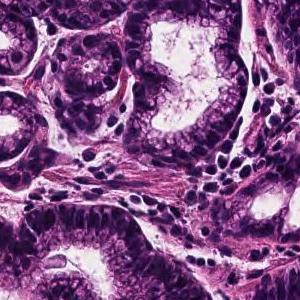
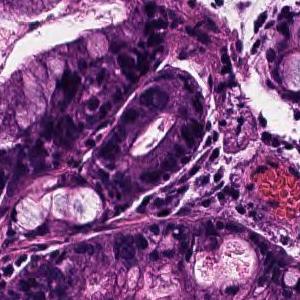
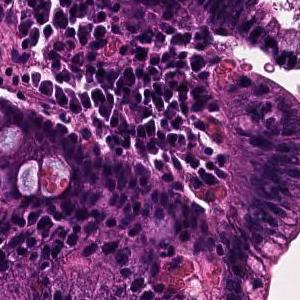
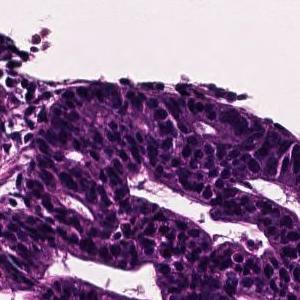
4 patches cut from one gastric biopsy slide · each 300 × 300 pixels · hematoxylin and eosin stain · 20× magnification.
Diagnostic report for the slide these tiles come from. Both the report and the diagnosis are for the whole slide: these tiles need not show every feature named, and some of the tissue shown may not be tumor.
In the superficial epithelium, tumor tissue infiltrated by partial fusion of medium-sized to small, irregular glandular ducts is observed. moderately differentiated tubular adenocarcinoma
